H&E stain, 13 image tiles from a single gastric biopsy slide, 300×300 px each.
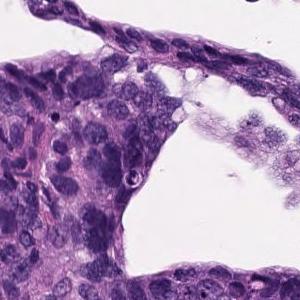
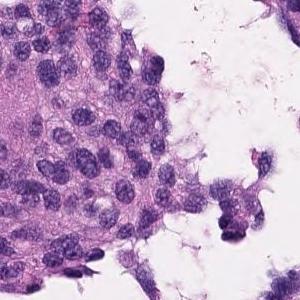
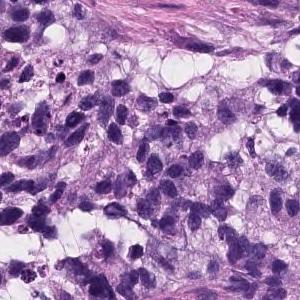
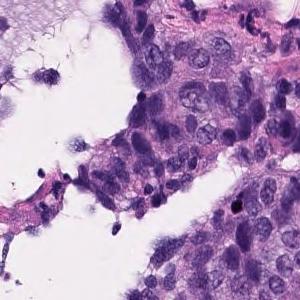
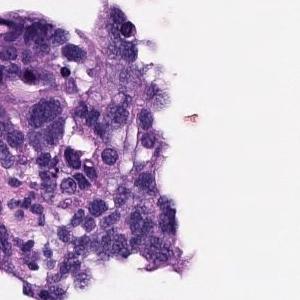
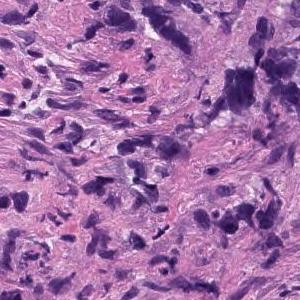
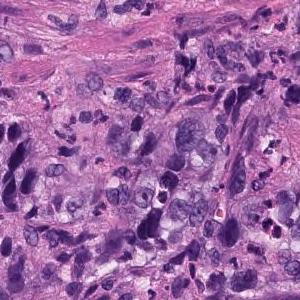
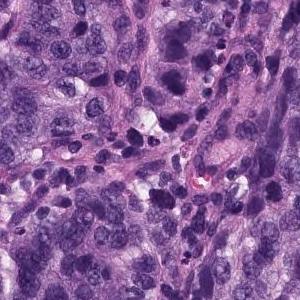
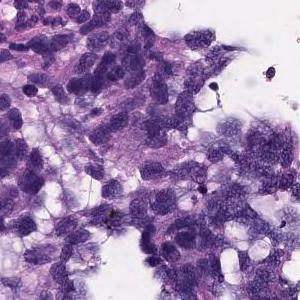
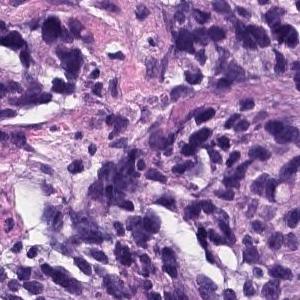
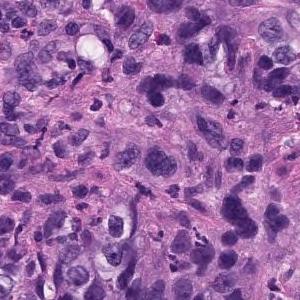
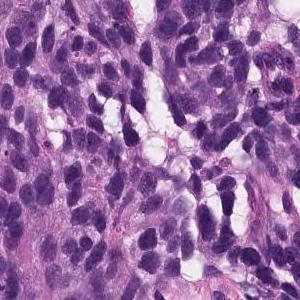
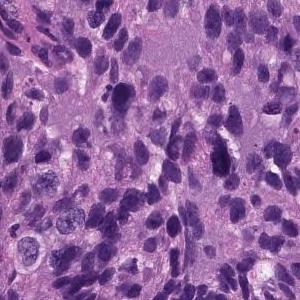
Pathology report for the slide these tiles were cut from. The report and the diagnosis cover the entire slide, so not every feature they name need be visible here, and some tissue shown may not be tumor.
Atypical l cells with atypical nuclei under the mucosa growing in isolation and scattered. Poorly differentiated adenocarcinoma (poorly differentiated adenocarcinoma, non-solid type)
Classified as poorly differentiated adenocarcinoma, non-solid type.
The term "non-solid type" comes from the Japanese Classification of Gastric Carcinoma.
